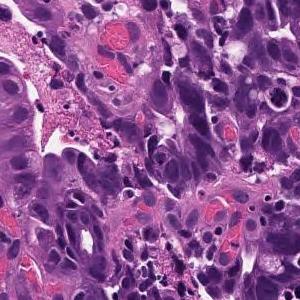
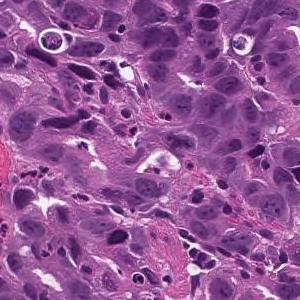
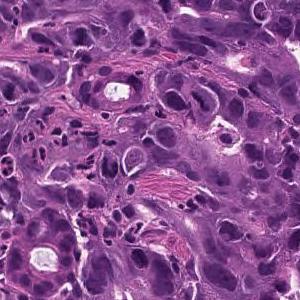
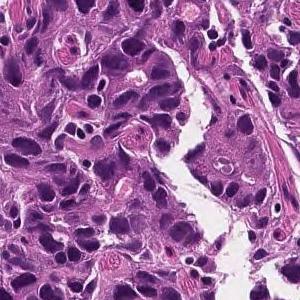
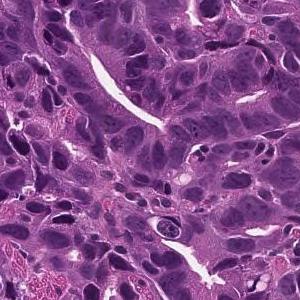
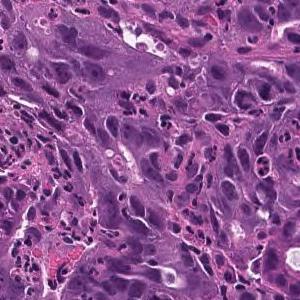
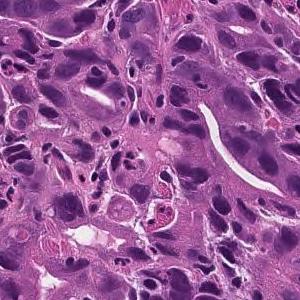
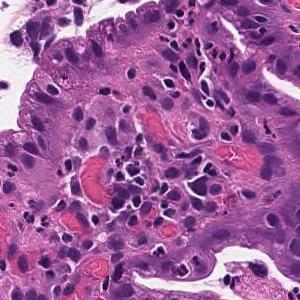
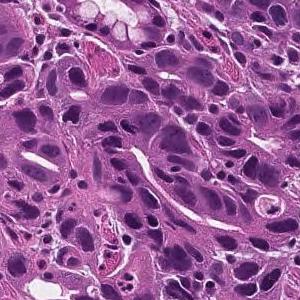
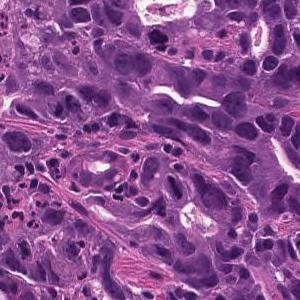
10 tiles from the same stomach biopsy slide; 300×300 px each; H&E; ×20.
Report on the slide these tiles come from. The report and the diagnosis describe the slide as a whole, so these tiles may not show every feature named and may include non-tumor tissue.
On the superficial epithelium, tumor tissue is found in which medium-sized irregular gland ducts fuse with each other and infiltrate. moderately differentiated tubular adenocarcinoma
